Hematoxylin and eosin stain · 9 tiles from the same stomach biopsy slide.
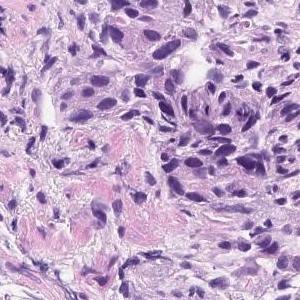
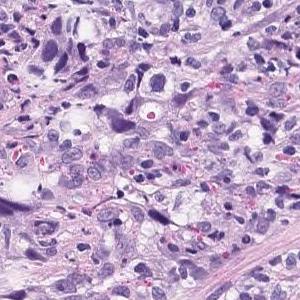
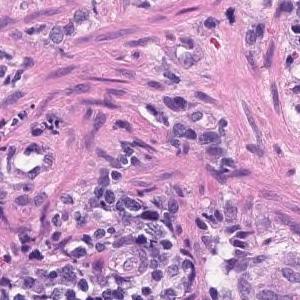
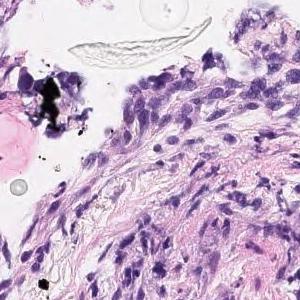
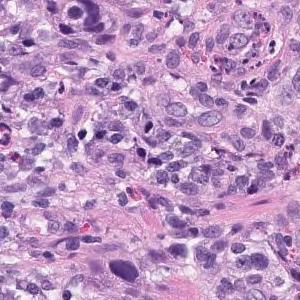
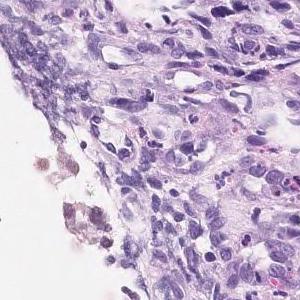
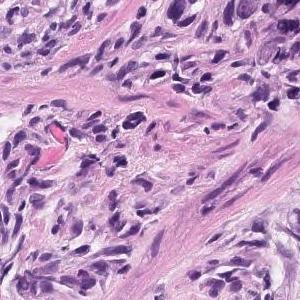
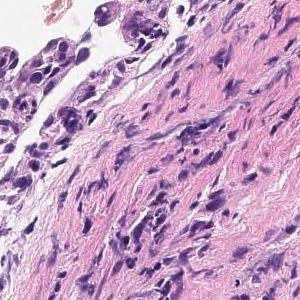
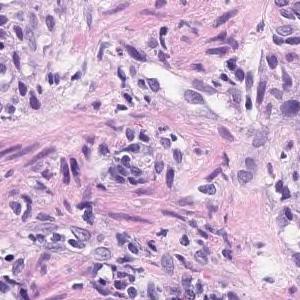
Pathology report for the biopsy slide these tiles were cut from. The findings and the diagnosis refer to the entire slide; these tiles show only part of it, possibly with non-tumor tissue, and may not show every feature named.
Group 5, Moderately differentiated adenocarcinoma
Tumor subtype: moderately differentiated tubular adenocarcinoma.
